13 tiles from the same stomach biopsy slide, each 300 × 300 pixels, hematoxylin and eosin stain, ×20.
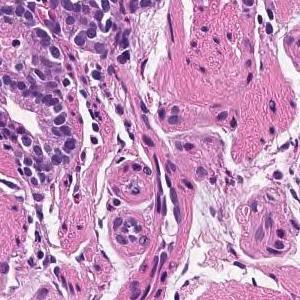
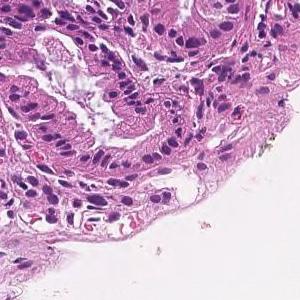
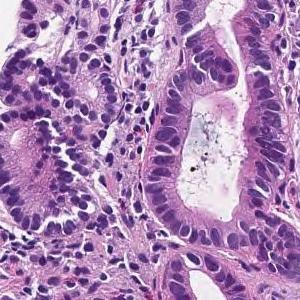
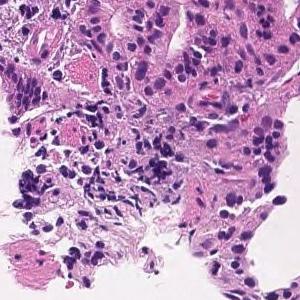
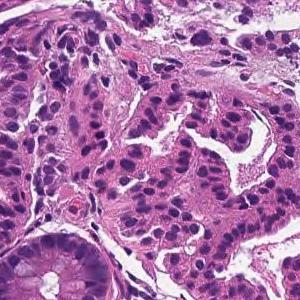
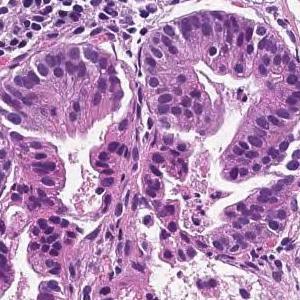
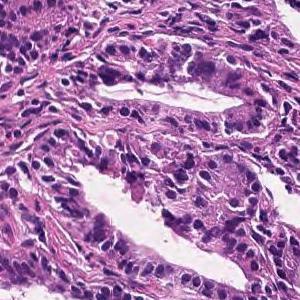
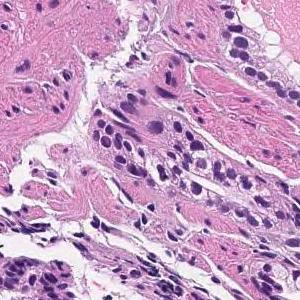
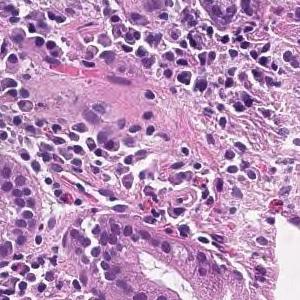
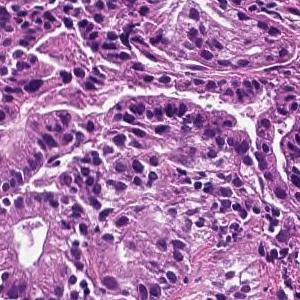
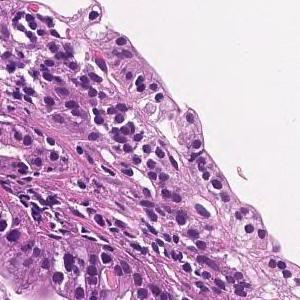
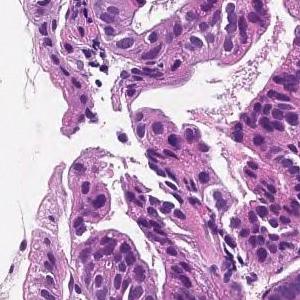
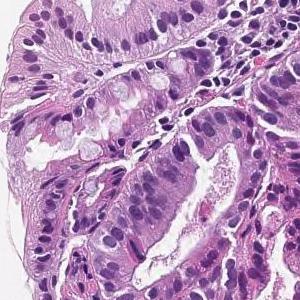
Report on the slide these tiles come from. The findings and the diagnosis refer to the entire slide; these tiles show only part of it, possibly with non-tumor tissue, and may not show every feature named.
On the superficial epithelium, tumor tissue that infiltrates by forming medium-sized papillary or small irregular ducts is observed. Papillary adenocarcinoma (Papillary adenocarcinoma)
Tumor subtype: papillary adenocarcinoma.
